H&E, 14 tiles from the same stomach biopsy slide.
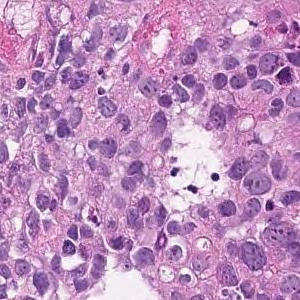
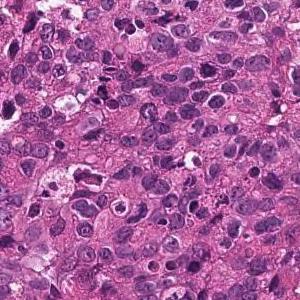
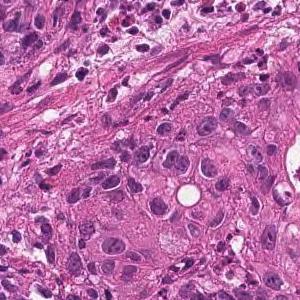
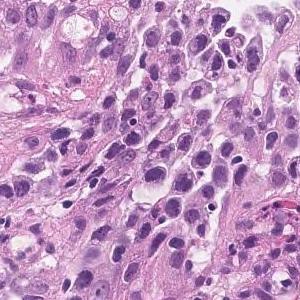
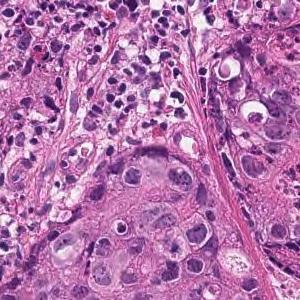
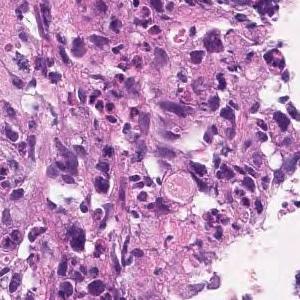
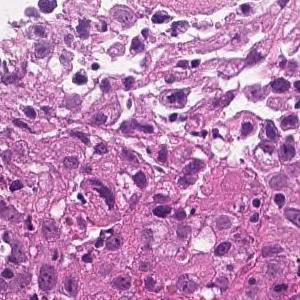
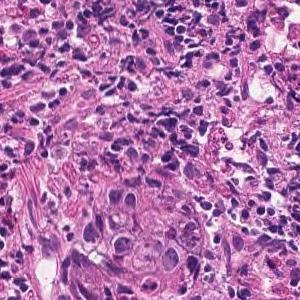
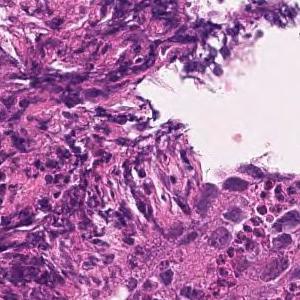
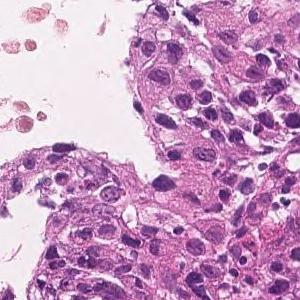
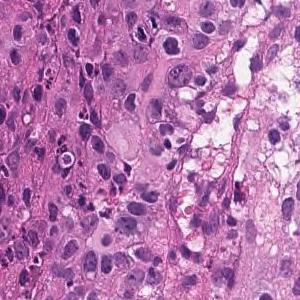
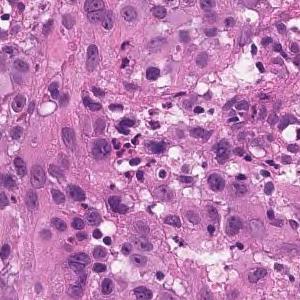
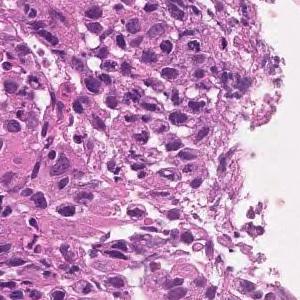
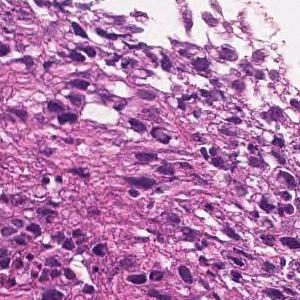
Diagnostic report for the slide these tiles come from. The report and the diagnosis cover the entire slide, so not every feature they name need be visible here, and some tissue shown may not be tumor.
The superficial epithelium shows a large sheet-like shape, and some tumor tissue infiltrates with small irregular ducts. Poorly differentiated adenocarcinoma, solid-type
Histological subtype: Poorly differentiated adenocarcinoma, solid type, a category of the Japanese Classification of Gastric Carcinoma; in the WHO 2019 classification it is tubular adenocarcinoma, poorly differentiated.
